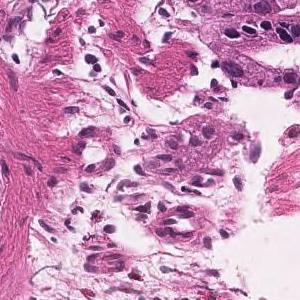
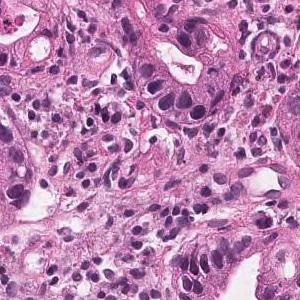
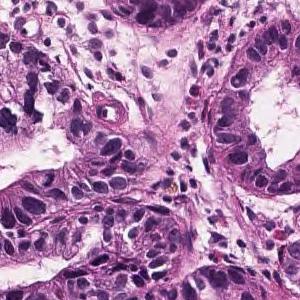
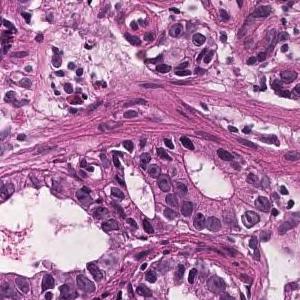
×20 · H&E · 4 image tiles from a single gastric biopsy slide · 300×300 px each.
Pathology report for the biopsy slide these tiles were cut from. The findings and the diagnosis refer to the entire slide; these tiles show only part of it, possibly with non-tumor tissue, and may not show every feature named.
Tumor tissue consisting of medium-sized and irregular ducts is observed infiltrating in the superficial epithelium. Tumor cells are highly columnar, with nuclei aligned basolaterally and polarized. Well differentiated tubular adenocarcinoma.
